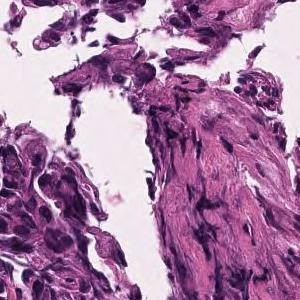
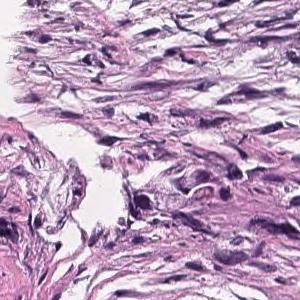
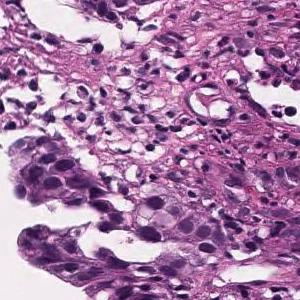
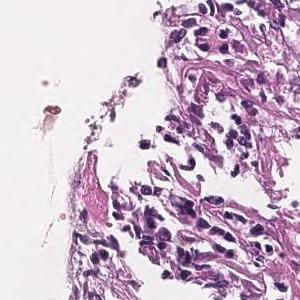
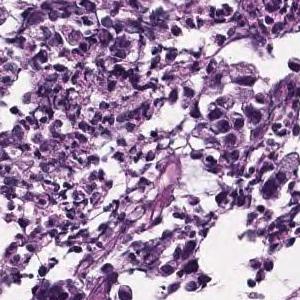
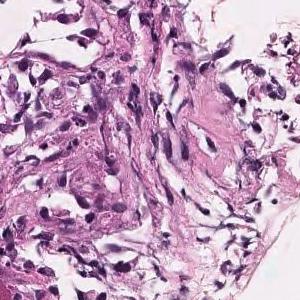
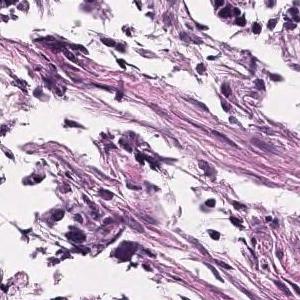
H&E · 7 patches cut from one gastric biopsy slide · each 300 × 300 pixels.
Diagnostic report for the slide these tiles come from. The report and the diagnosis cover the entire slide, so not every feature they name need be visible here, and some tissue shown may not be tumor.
In the superficial epithelium, tumor tissue that invades by forming medium-sized to small, irregular ducts is observed. moderately differentiated tubular adenocarcinoma.
